14 tiles from the same stomach biopsy slide · each 300 × 300 pixels · scanned at ×20 · H&E.
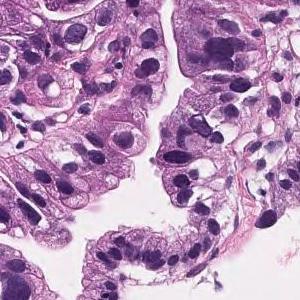
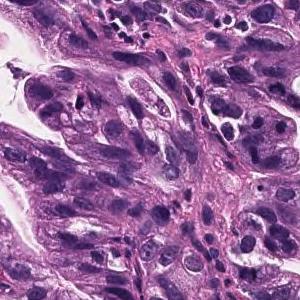
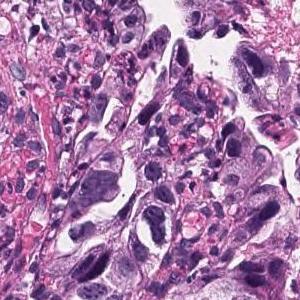
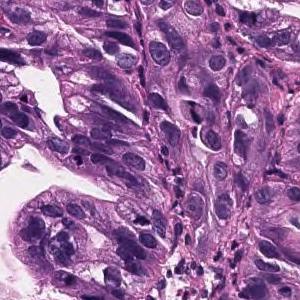
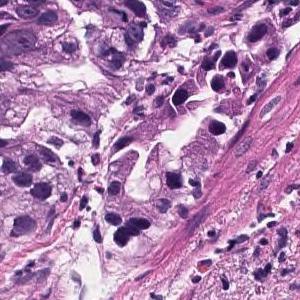
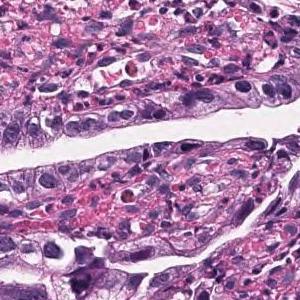
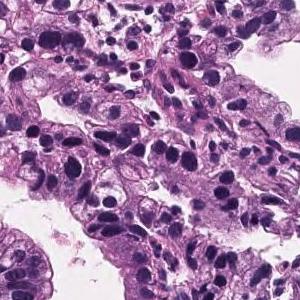
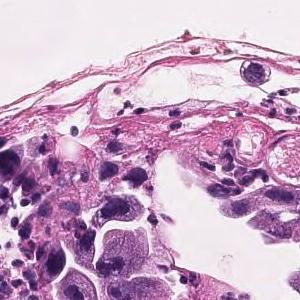
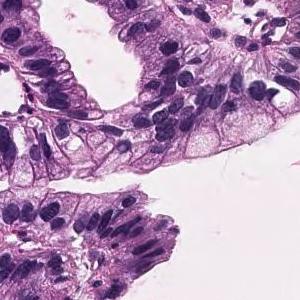
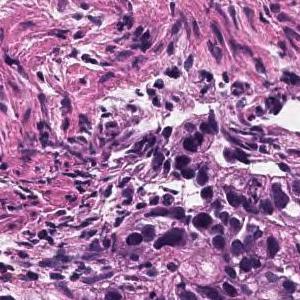
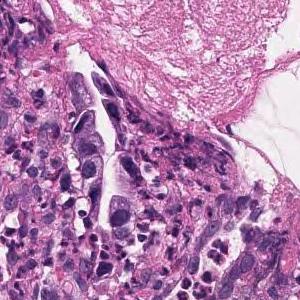
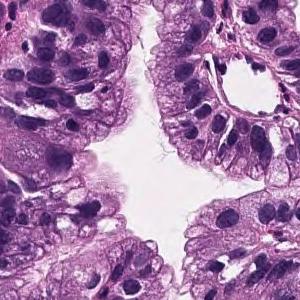
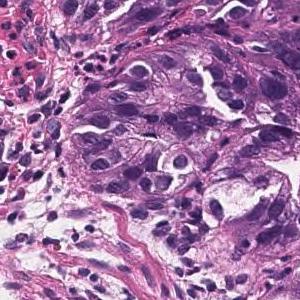
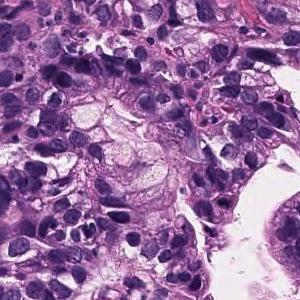
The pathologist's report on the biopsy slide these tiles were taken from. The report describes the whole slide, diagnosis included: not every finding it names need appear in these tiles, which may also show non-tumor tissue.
Tumor cells are large, highly columnar, large club-shaped nuclei, and are associated with chromatin aggregation. Papillary adenocarcinoma.
